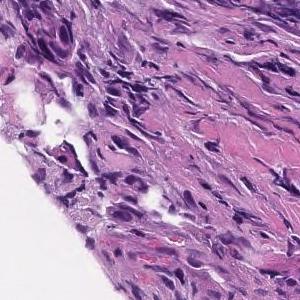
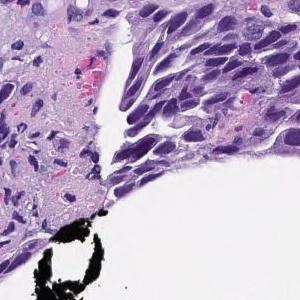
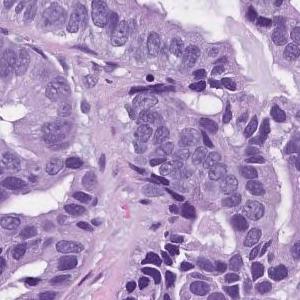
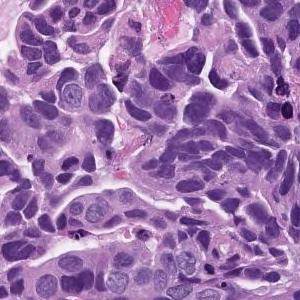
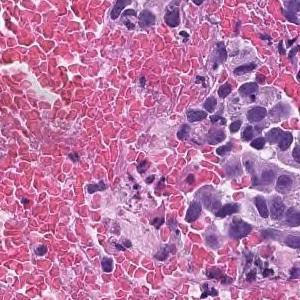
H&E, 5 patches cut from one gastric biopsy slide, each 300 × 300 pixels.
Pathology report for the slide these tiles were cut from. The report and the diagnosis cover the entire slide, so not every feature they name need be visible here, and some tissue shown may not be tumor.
In the superficial epithelium, tumor tissue that invades by forming medium-sized to small, irregular ducts is observed. moderately differentiated tubular adenocarcinoma.
